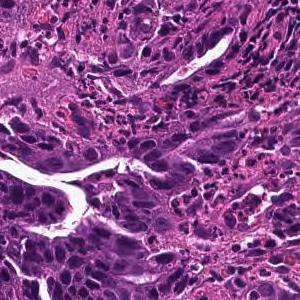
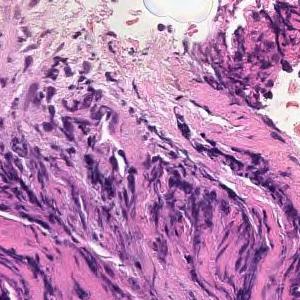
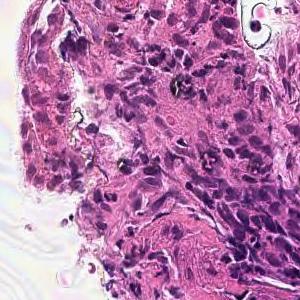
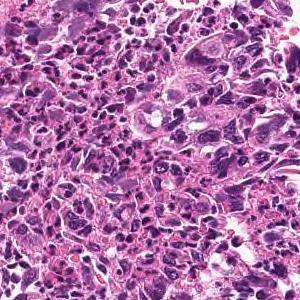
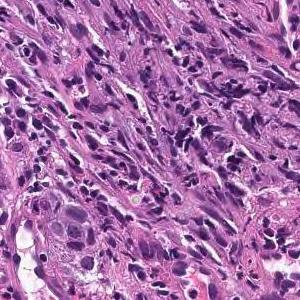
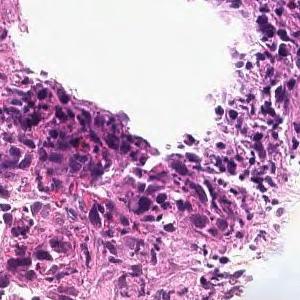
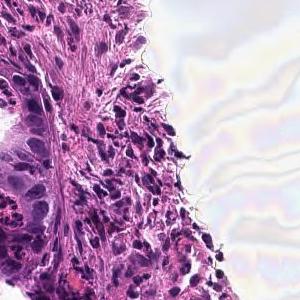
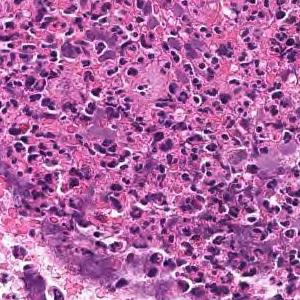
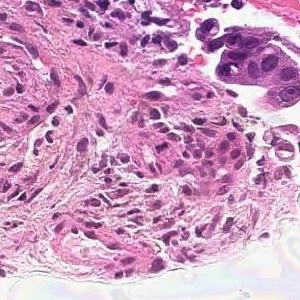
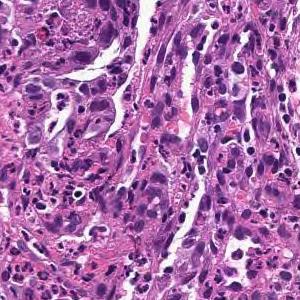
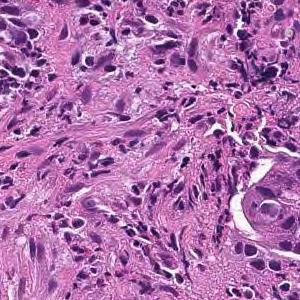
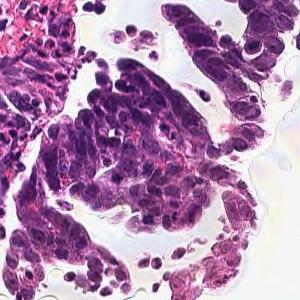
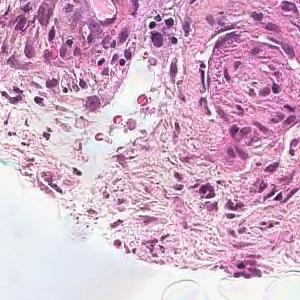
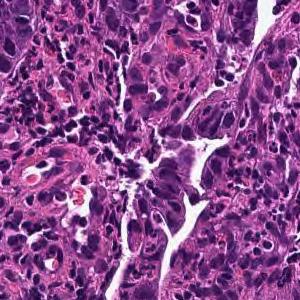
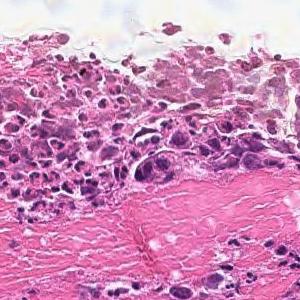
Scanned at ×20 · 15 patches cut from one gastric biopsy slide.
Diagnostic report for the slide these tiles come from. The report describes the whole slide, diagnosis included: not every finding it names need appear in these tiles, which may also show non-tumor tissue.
In the superficial epithelium, tumor tissue that invades by forming medium-sized to small, irregular ducts is observed. moderately differentiated tubular adenocarcinoma.
